14 patches cut from one gastric biopsy slide, 20× magnification, hematoxylin and eosin stain.
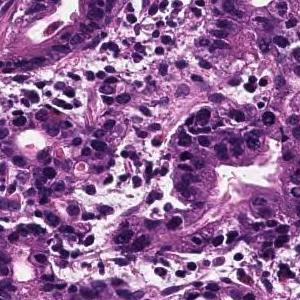
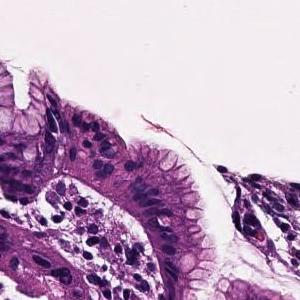
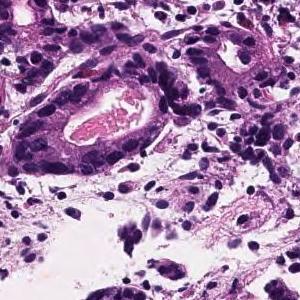
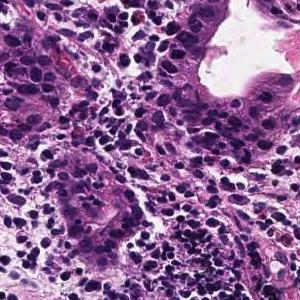
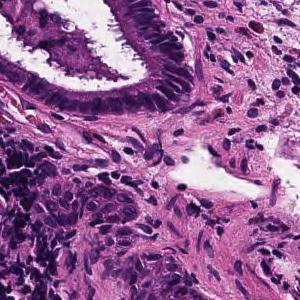
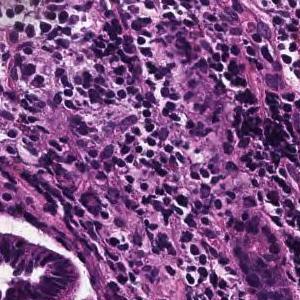
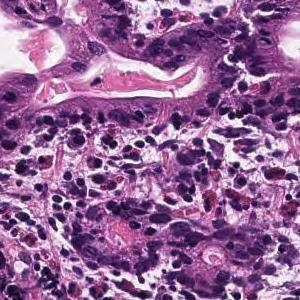
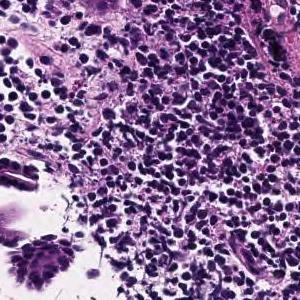
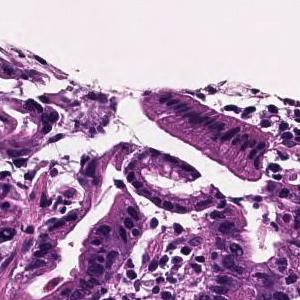
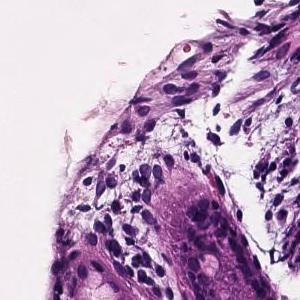
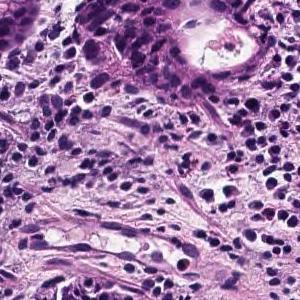
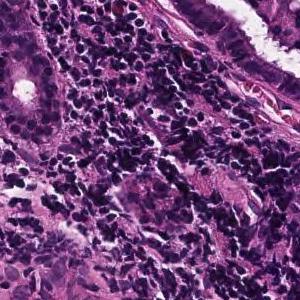
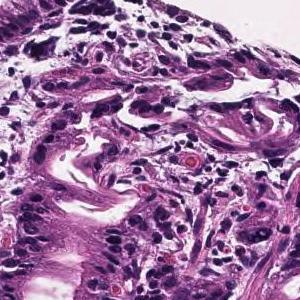
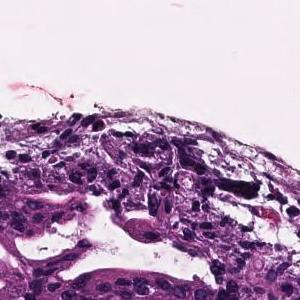
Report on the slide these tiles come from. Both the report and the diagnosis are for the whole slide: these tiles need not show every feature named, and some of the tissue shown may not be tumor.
In the superficial epithelium, tumor tissue infiltrated by partial fusion of medium-sized to small, irregular glandular ducts is observed. moderately differentiated tubular adenocarcinoma
